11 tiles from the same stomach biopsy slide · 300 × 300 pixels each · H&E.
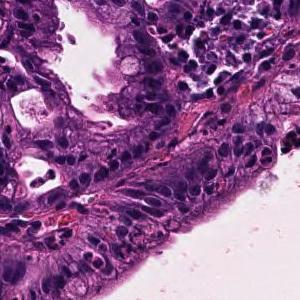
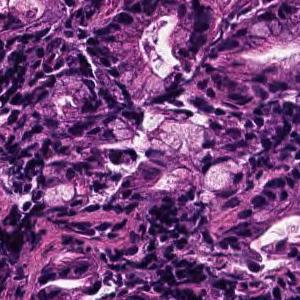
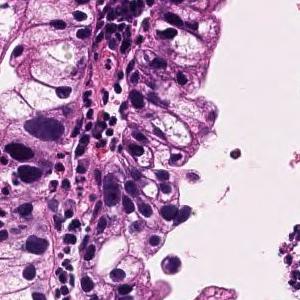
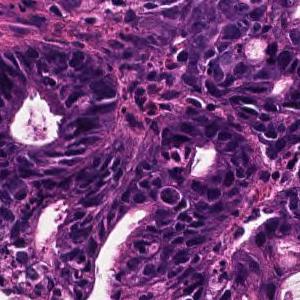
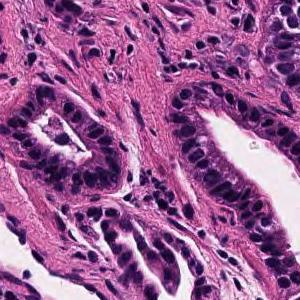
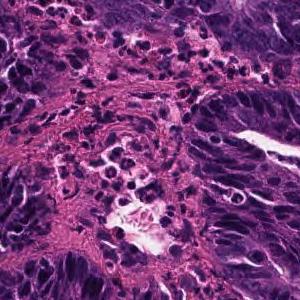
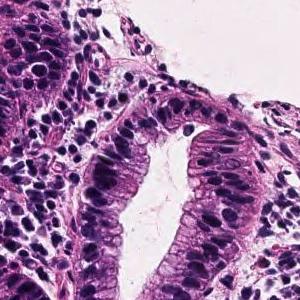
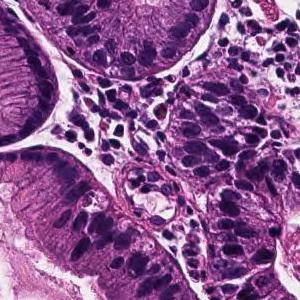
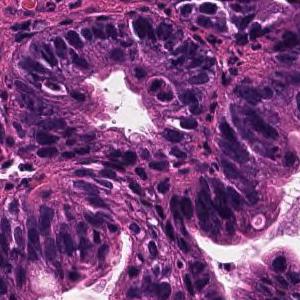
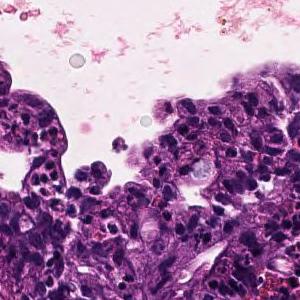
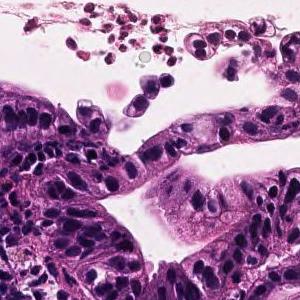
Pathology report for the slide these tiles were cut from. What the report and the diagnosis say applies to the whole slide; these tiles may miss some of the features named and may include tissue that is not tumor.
Tumor cells are large, highly columnar, large club-shaped nuclei, and are associated with chromatin aggregation. Papillary adenocarcinoma.
